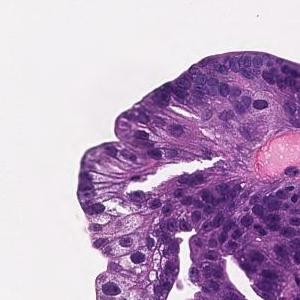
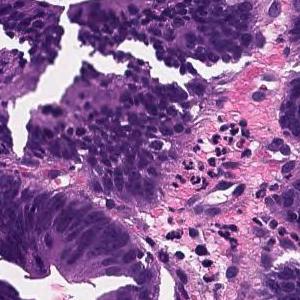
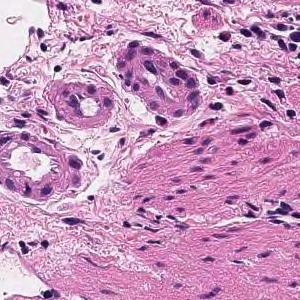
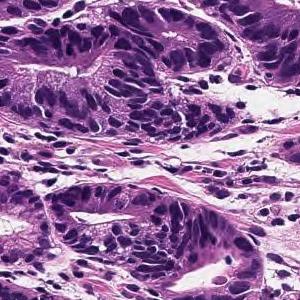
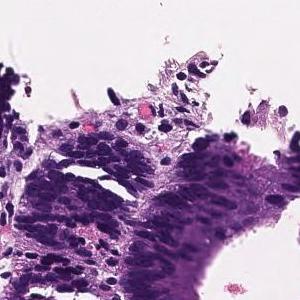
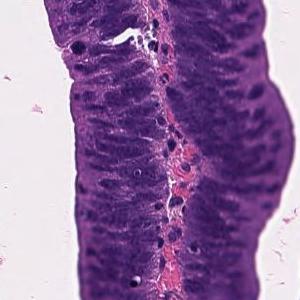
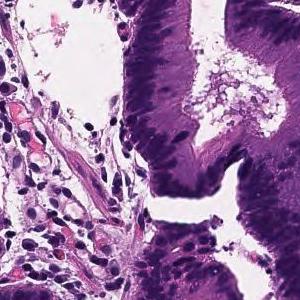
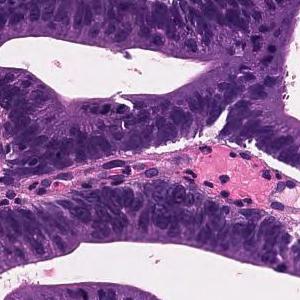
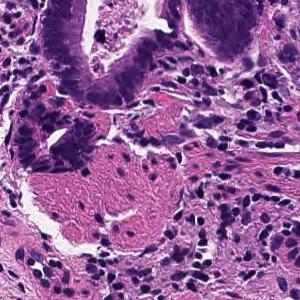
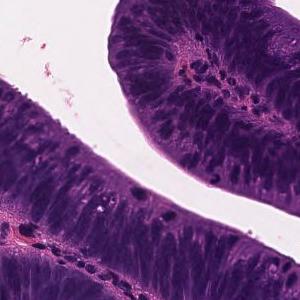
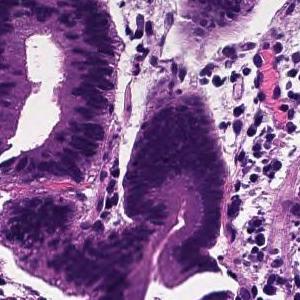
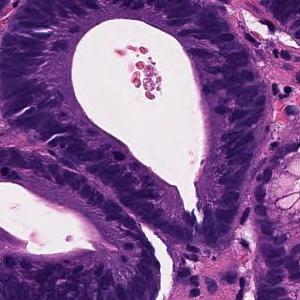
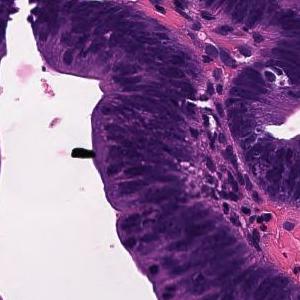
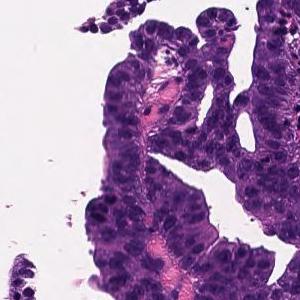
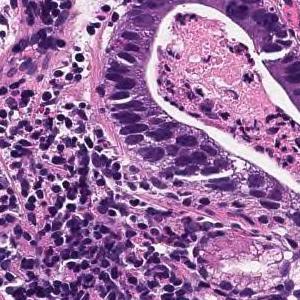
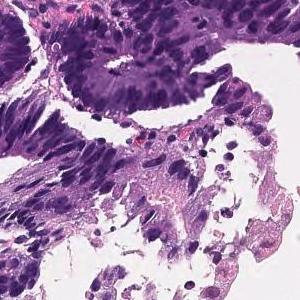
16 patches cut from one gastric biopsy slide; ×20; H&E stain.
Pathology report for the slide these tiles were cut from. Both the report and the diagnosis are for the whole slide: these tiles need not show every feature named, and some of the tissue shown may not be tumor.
Tumor tissue consisting of large papillary structures is found in the superficial epithelium. Papillary adenocarcinoma.
